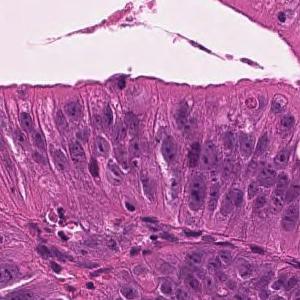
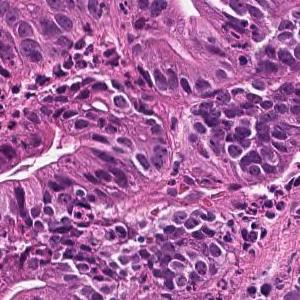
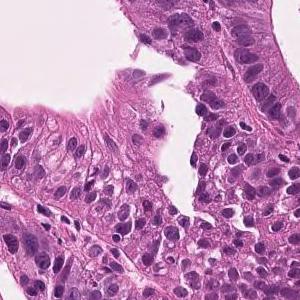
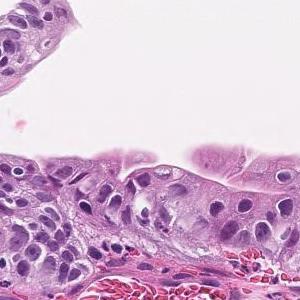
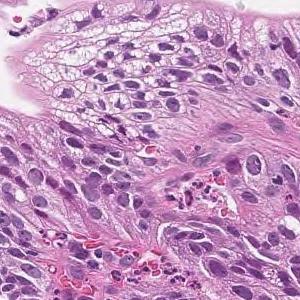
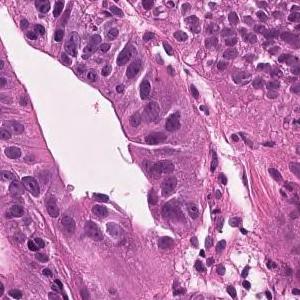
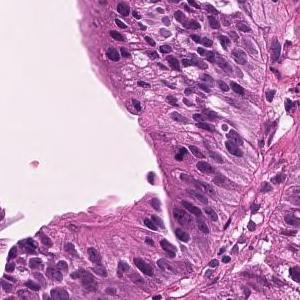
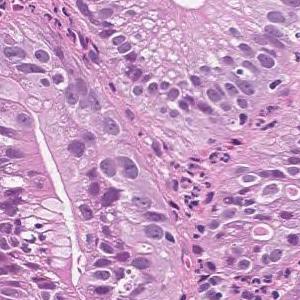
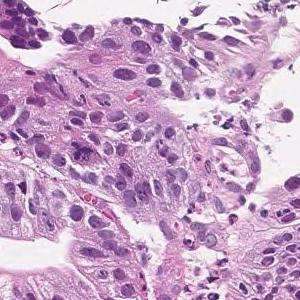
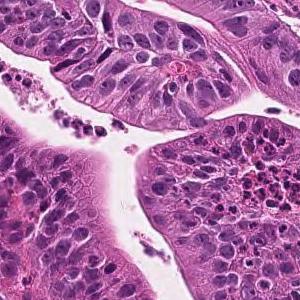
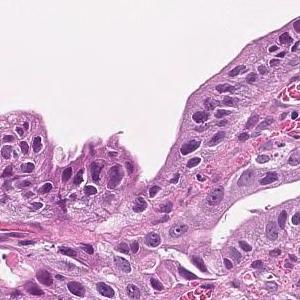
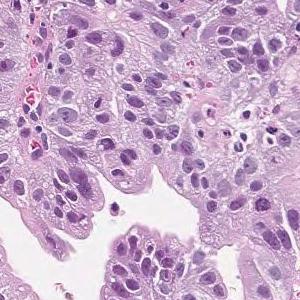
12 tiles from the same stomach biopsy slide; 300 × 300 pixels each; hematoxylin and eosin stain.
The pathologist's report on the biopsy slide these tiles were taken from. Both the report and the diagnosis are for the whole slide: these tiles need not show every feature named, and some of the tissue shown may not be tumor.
Tumor cells are large, highly columnar, large club-shaped nuclei, and are associated with chromatin aggregation. Papillary adenocarcinoma.
